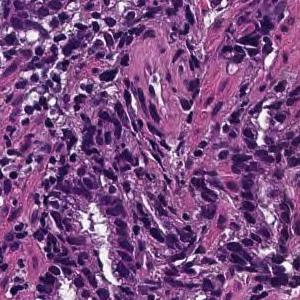
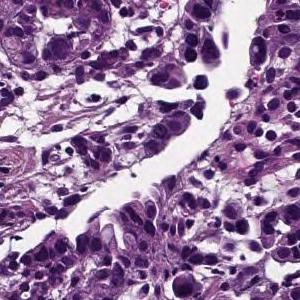
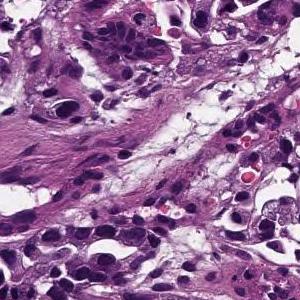
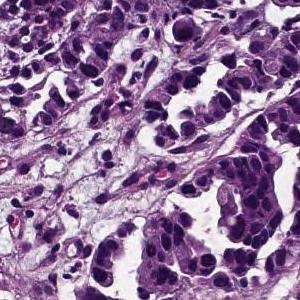
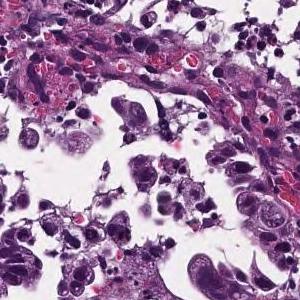
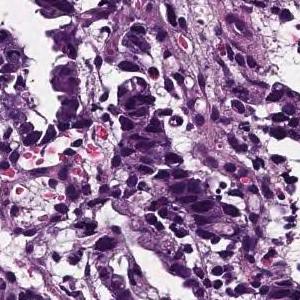
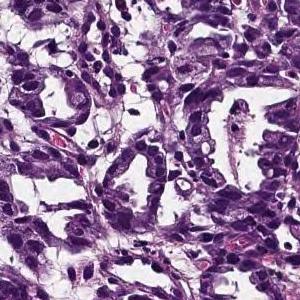
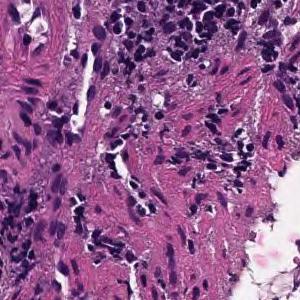
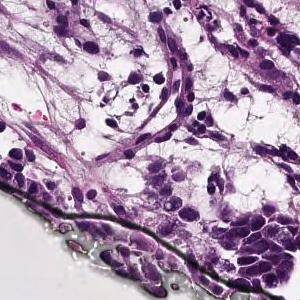
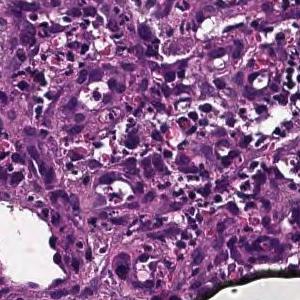
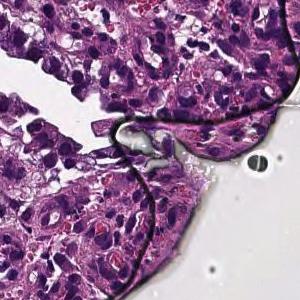
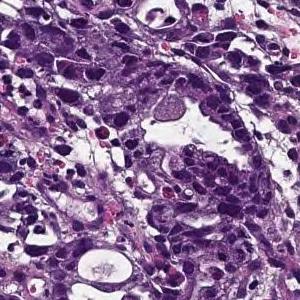
12 tiles cut from one stomach biopsy slide.
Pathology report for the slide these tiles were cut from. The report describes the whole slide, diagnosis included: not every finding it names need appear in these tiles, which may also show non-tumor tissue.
Medium to small, irregular glandular ducts are formed in the superficial epithelium, and in some cases, the glandular ducts are fused to show solid alveolar lesions and infiltrating tumor tissue is observed. Moderately to poorly differentiated adenocarcinoma.
